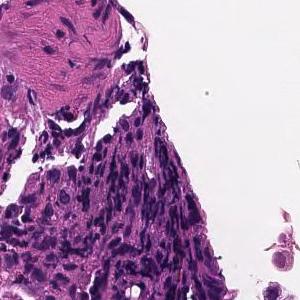
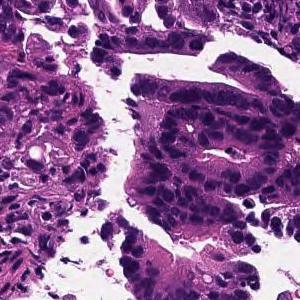
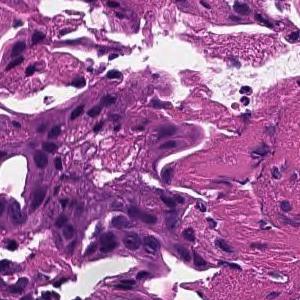
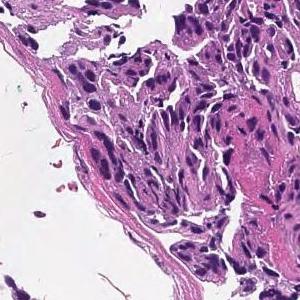
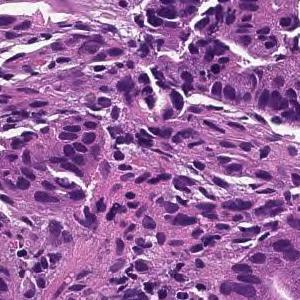
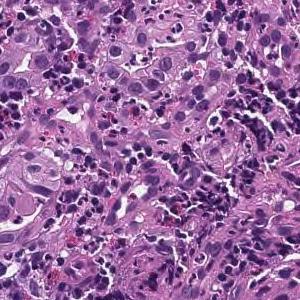
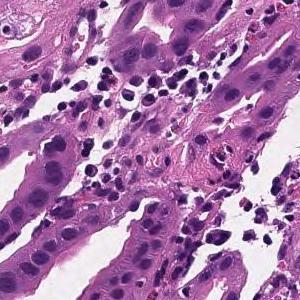
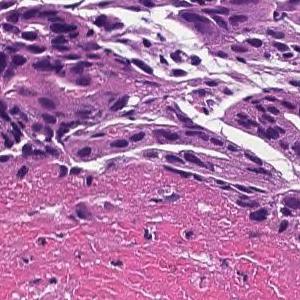
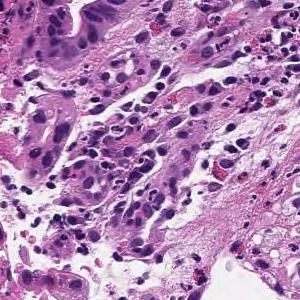
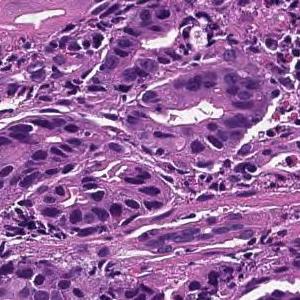
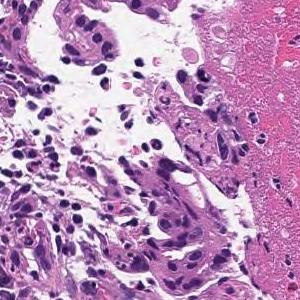
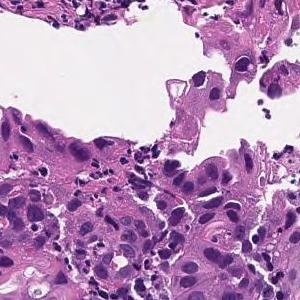
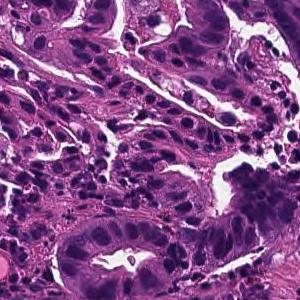
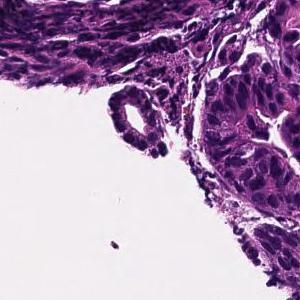
Hematoxylin and eosin stain; 14 image tiles from a single gastric biopsy slide; each 300 × 300 pixels.
Pathology report for the slide these tiles were cut from. The findings and the diagnosis refer to the entire slide; these tiles show only part of it, possibly with non-tumor tissue, and may not show every feature named.
In the superficial epithelium, tumor tissue that invades by forming medium-sized to small, irregular ducts is observed. moderately differentiated tubular adenocarcinoma.
